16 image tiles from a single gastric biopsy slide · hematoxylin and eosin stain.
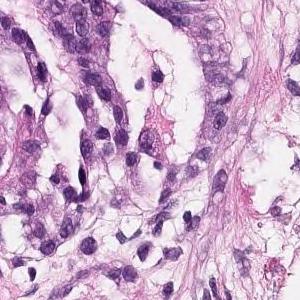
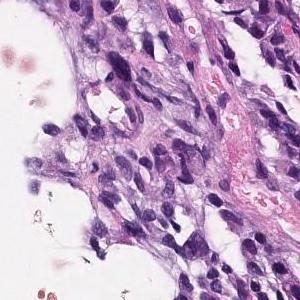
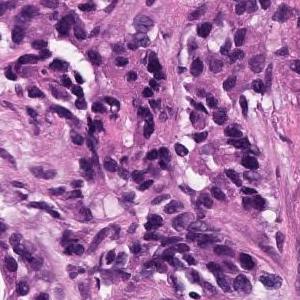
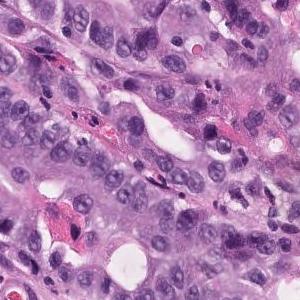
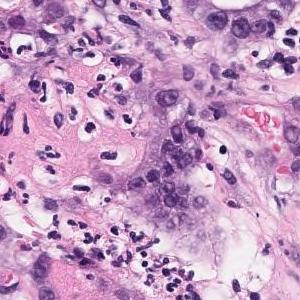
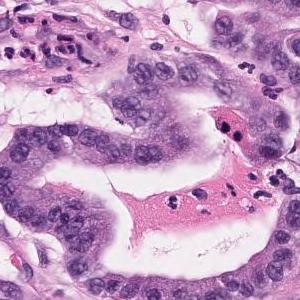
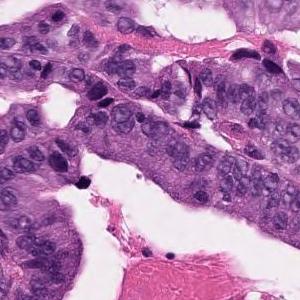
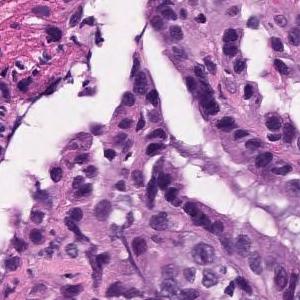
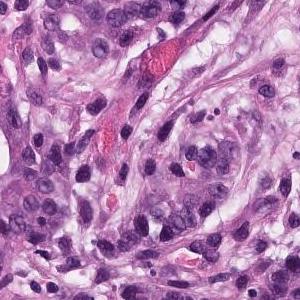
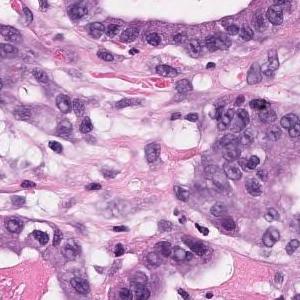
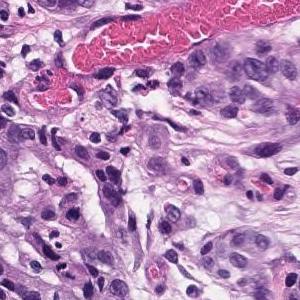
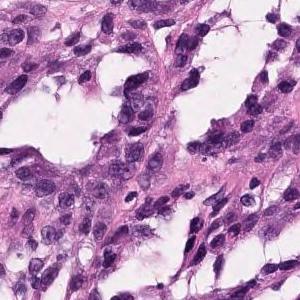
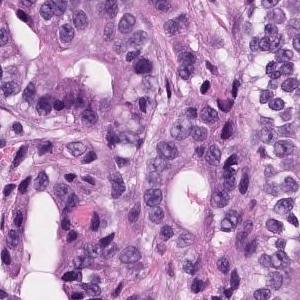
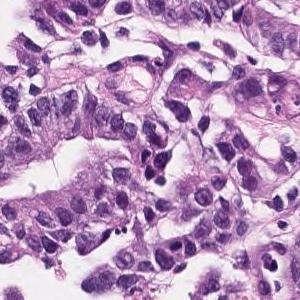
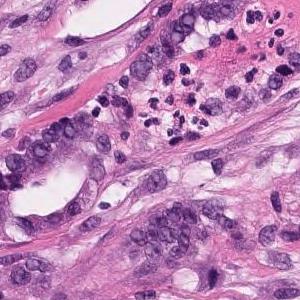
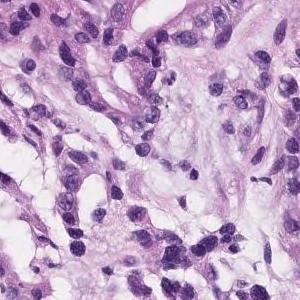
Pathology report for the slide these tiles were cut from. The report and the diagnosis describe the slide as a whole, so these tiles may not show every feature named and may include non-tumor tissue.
In the superficial epithelium, tumor tissue that invades by forming medium-sized to small, irregular ducts is observed. Moderately differentiated adenocarcinoma.
Tumor subtype: moderately differentiated tubular adenocarcinoma.
